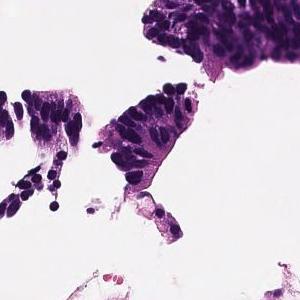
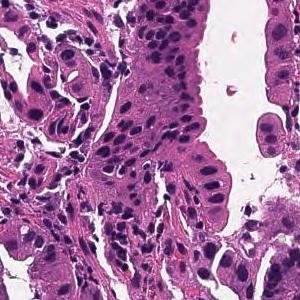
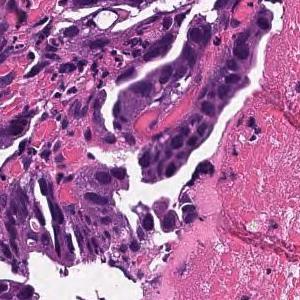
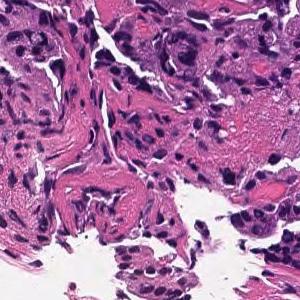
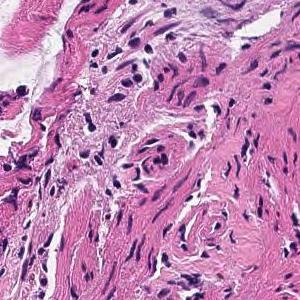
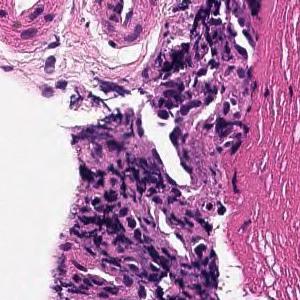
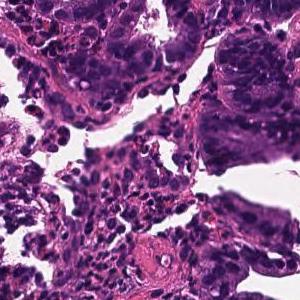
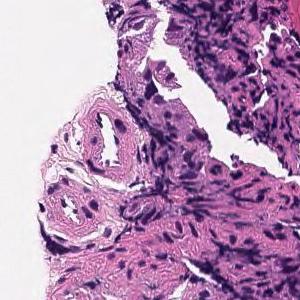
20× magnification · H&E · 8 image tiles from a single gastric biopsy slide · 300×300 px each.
Pathology report for the slide these tiles were cut from. The report and the diagnosis cover the entire slide, so not every feature they name need be visible here, and some tissue shown may not be tumor.
Tumor cells are large, highly columnar, large club-shaped nuclei, and are associated with chromatin aggregation. Papillary adenocarcinoma.
